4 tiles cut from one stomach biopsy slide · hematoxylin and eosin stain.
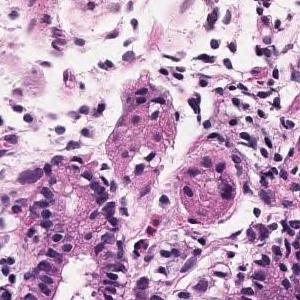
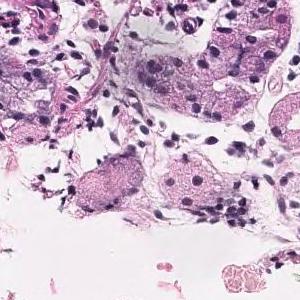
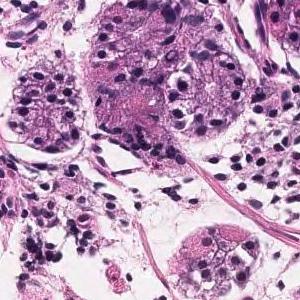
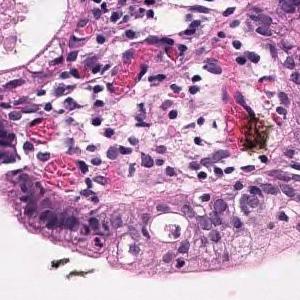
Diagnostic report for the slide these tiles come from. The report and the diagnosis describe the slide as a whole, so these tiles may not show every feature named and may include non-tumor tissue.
Tumor tissue that grows and grows is observed, showing a medium-sized round or irregular duct. moderately differentiated tubular adenocarcinoma
